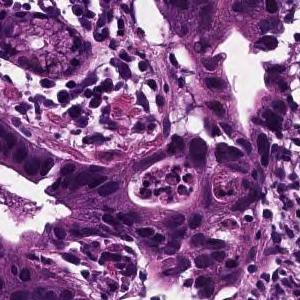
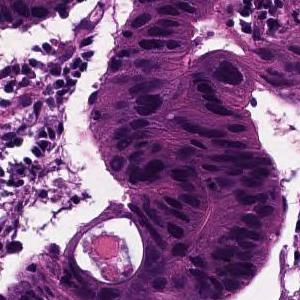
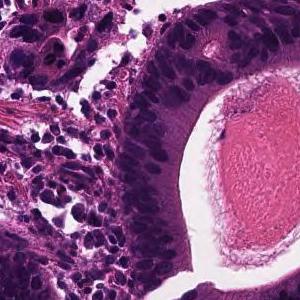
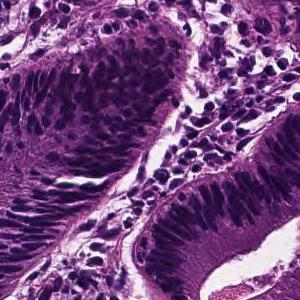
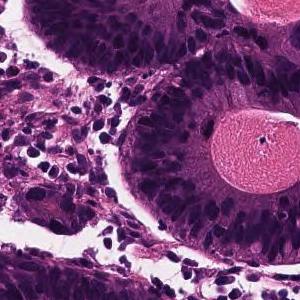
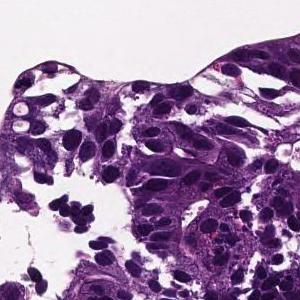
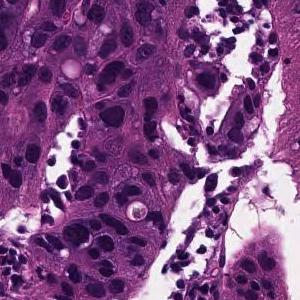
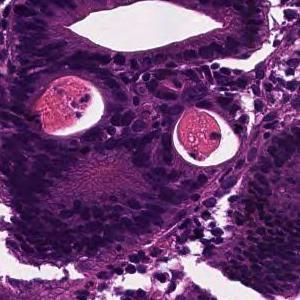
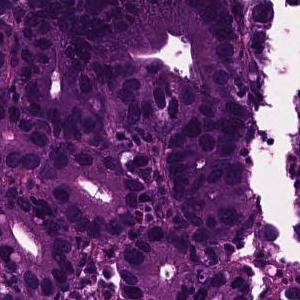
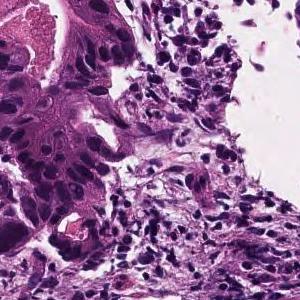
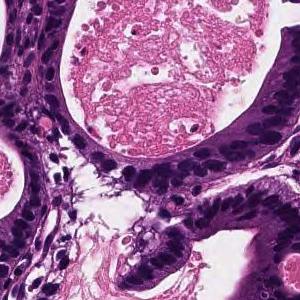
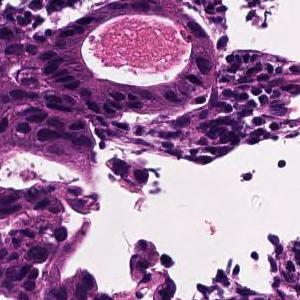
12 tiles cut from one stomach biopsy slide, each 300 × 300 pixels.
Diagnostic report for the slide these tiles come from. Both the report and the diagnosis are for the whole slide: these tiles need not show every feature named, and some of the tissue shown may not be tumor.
In the superficial epithelium, tumor tissue that invades by forming medium-sized to small, irregular ducts is observed. moderately differentiated tubular adenocarcinoma.
